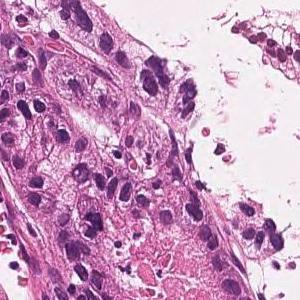
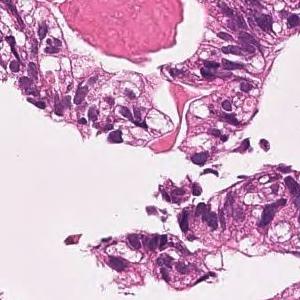
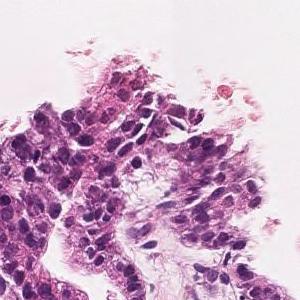
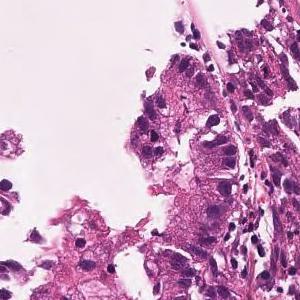
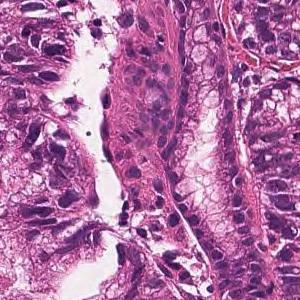
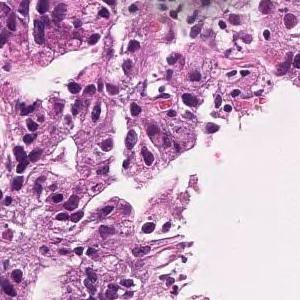
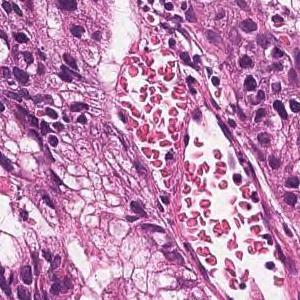
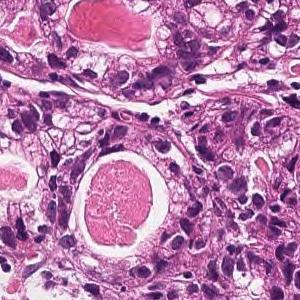
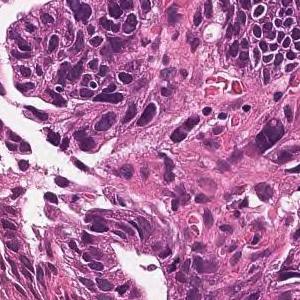
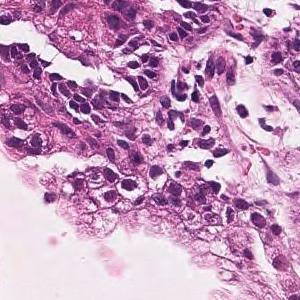
10 tiles cut from one stomach biopsy slide; 300 × 300 pixels each; ×20; H&E stain.
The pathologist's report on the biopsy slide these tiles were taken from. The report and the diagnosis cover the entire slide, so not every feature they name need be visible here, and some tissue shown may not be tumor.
On the superficial epithelium, tumor tissue consisting of large, irregular glandular ducts partially fused and infiltrated is observed. Well to moderately differentiated tubular adenocarcinoma (well differentiated tubular adenocarcinoma, moderately differentiated tubular adenocarcinoma)
Tumor subtype: well to moderately differentiated tubular adenocarcinoma.
